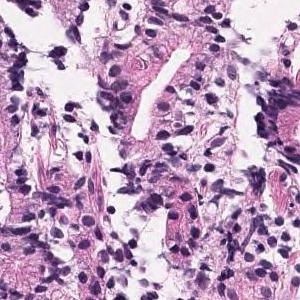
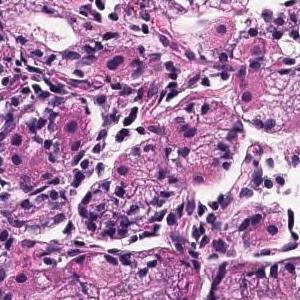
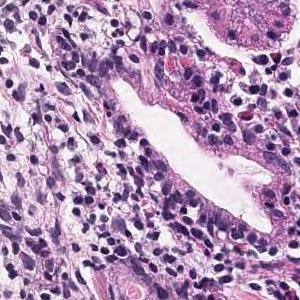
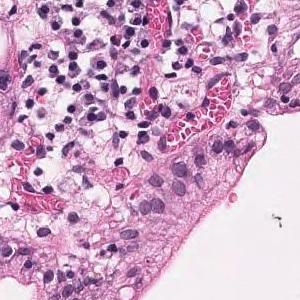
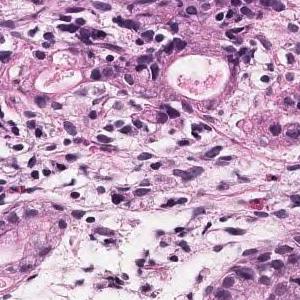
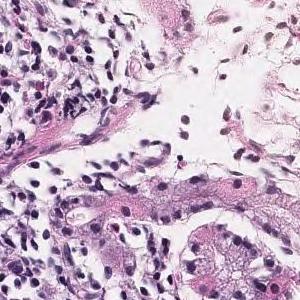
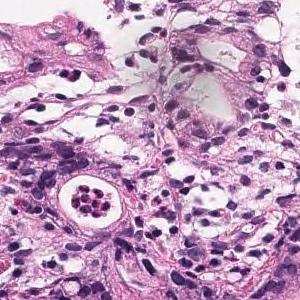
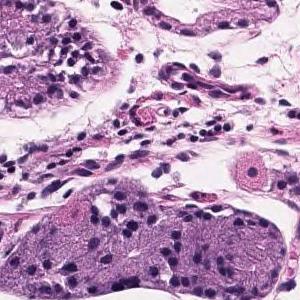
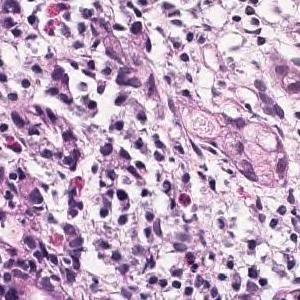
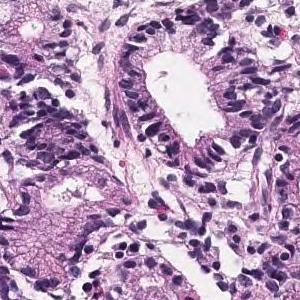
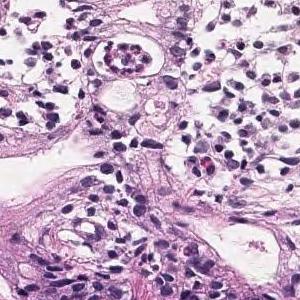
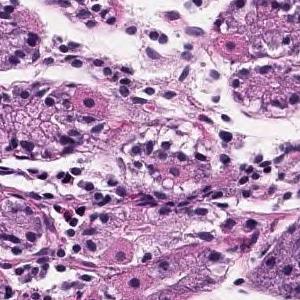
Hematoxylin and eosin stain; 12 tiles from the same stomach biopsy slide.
Diagnostic report for the slide these tiles come from. The findings and the diagnosis refer to the entire slide; these tiles show only part of it, possibly with non-tumor tissue, and may not show every feature named.
Tumor tissue that grows and grows is observed, showing a medium-sized round or irregular duct. moderately differentiated tubular adenocarcinoma
